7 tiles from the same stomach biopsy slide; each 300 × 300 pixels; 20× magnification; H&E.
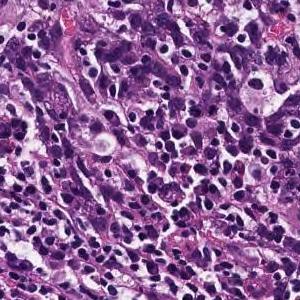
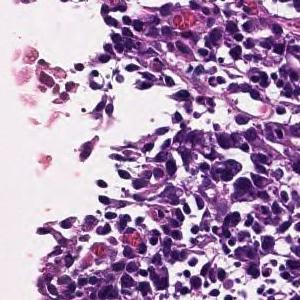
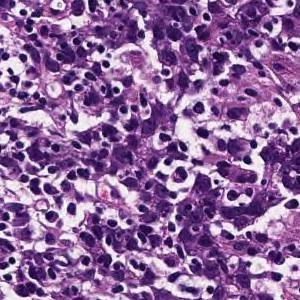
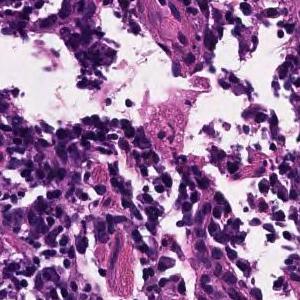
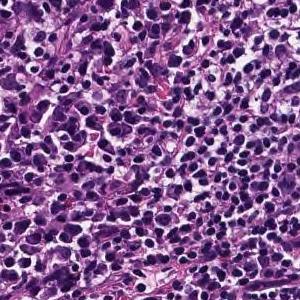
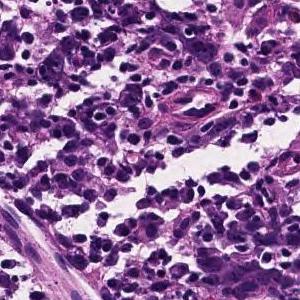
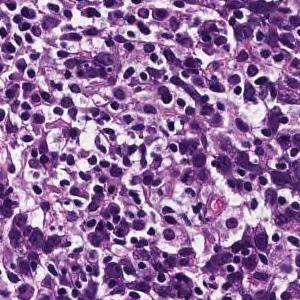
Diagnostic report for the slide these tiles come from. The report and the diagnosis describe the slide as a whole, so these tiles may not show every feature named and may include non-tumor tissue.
Tumor tissue consisting of cord-like or small, irregular glandular ducts fused and infiltrated is observed in the superficial epithelium. Poorly differentiated adenocarcinoma, non-solid type
"Non-solid type" is a category of the Japanese Classification of Gastric Carcinoma.
